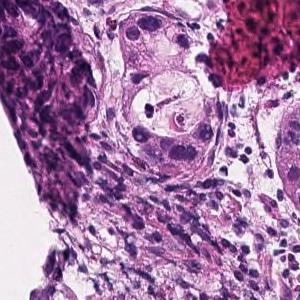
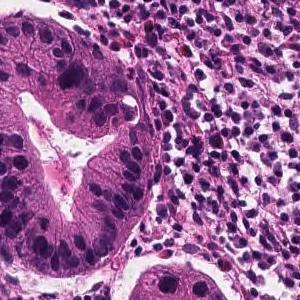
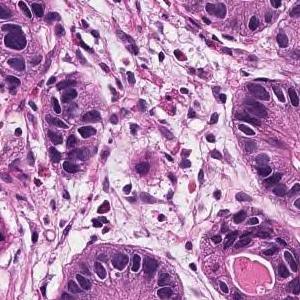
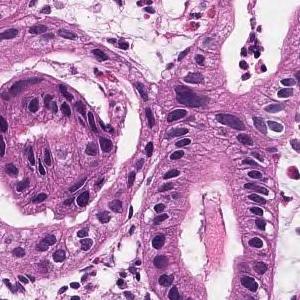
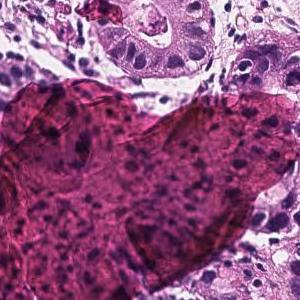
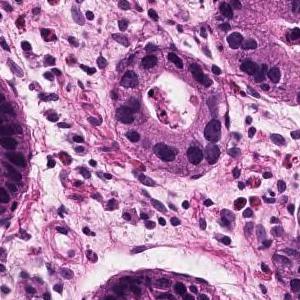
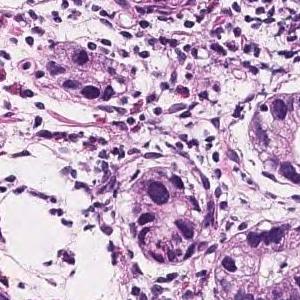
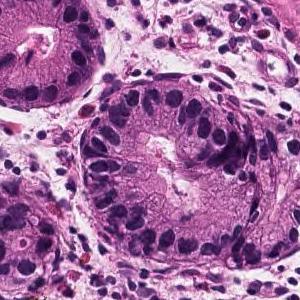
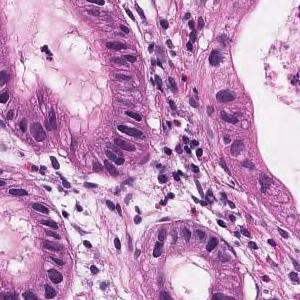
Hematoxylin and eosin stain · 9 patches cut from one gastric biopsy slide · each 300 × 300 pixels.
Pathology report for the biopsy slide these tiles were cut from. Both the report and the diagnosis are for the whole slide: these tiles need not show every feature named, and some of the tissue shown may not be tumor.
Tumor tissue in which medium to small irregular ducts infiltrate and proliferate in the submucosa can be seen in the epithelium. Well differentiated tubular adenocarcinoma
